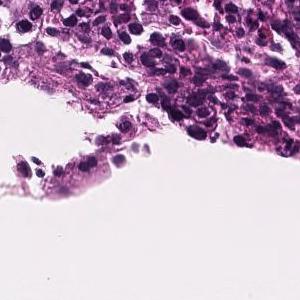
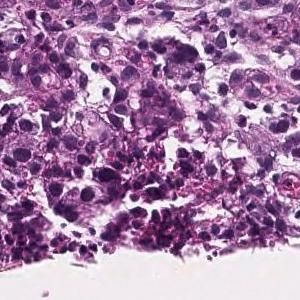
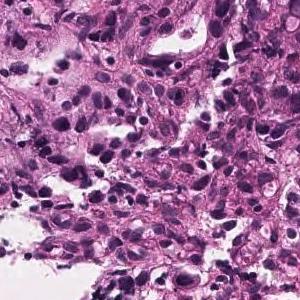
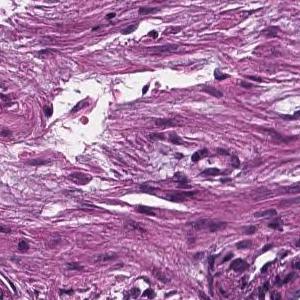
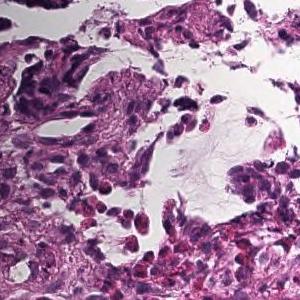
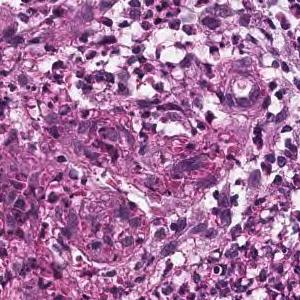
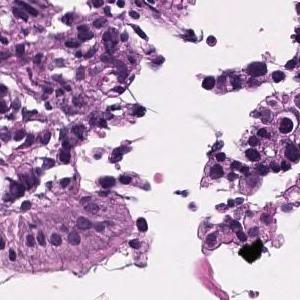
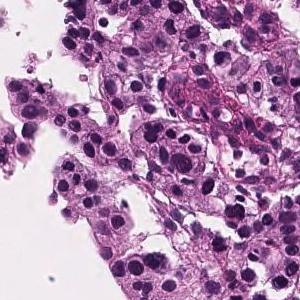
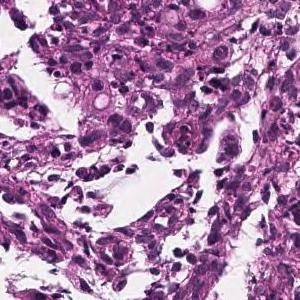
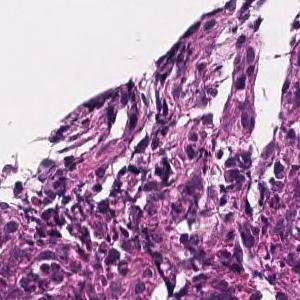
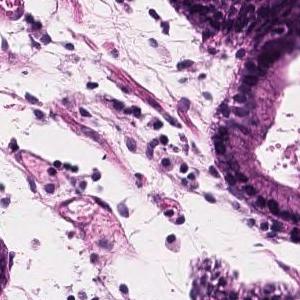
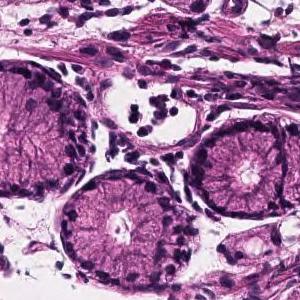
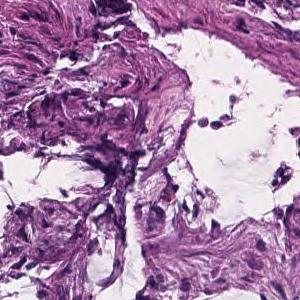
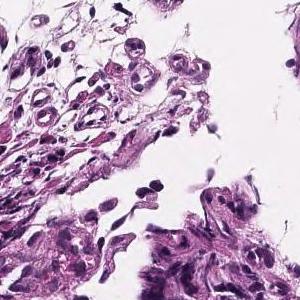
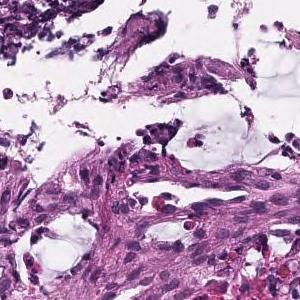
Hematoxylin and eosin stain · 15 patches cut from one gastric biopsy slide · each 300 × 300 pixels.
Pathology report for the slide these tiles were cut from. The report describes the whole slide, diagnosis included: not every finding it names need appear in these tiles, which may also show non-tumor tissue.
Atypical epithelial cells form obscure ductal structures or small solid follicles, and tumor tissue that proliferates invasively with proliferation of inflammatory granulation tissue is observed. Mucinous adenocarcinoma .
